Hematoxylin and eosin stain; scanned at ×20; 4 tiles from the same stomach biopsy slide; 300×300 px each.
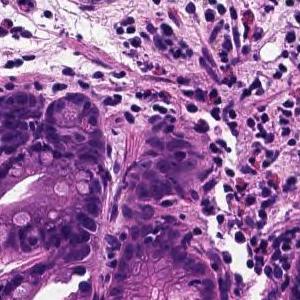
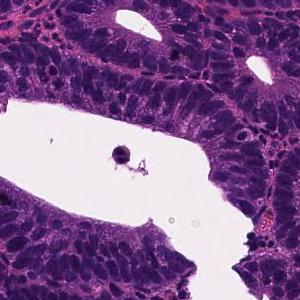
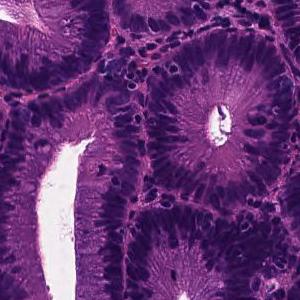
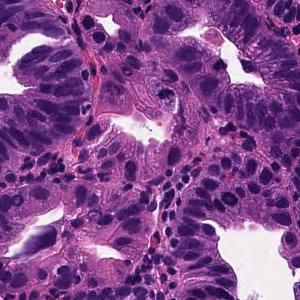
Pathology report for the slide these tiles were cut from. The report and the diagnosis describe the slide as a whole, so these tiles may not show every feature named and may include non-tumor tissue.
Tumor tissue in which medium to small irregular ducts infiltrate and proliferate in the submucosa can be seen in the epithelium. Well differentiated tubular adenocarcinoma
